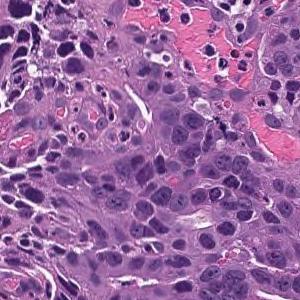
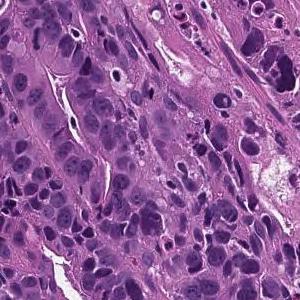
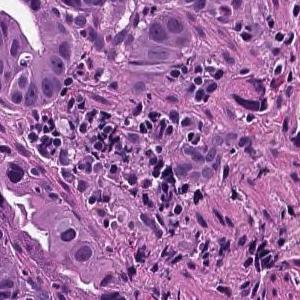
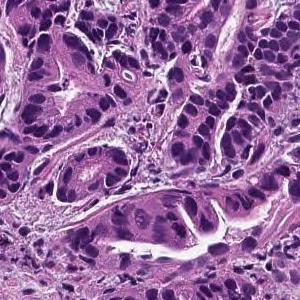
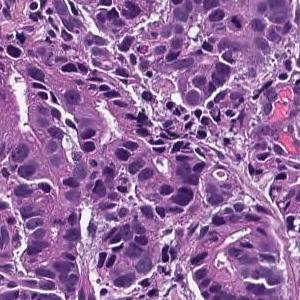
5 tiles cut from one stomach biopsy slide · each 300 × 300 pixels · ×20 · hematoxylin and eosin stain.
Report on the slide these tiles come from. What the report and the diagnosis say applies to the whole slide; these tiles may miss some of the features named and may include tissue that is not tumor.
In the superficial epithelium, tumor tissue that invades by forming medium-sized to small, irregular ducts is observed. moderately differentiated tubular adenocarcinoma.
